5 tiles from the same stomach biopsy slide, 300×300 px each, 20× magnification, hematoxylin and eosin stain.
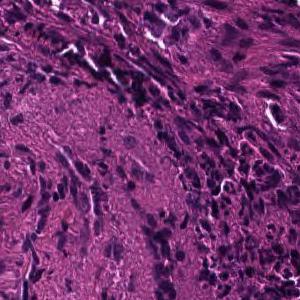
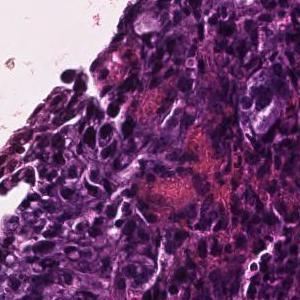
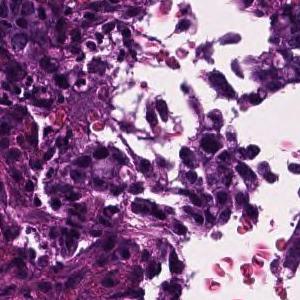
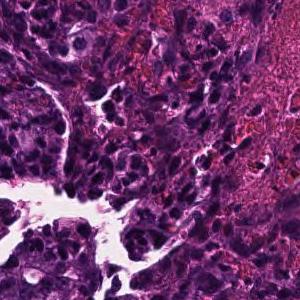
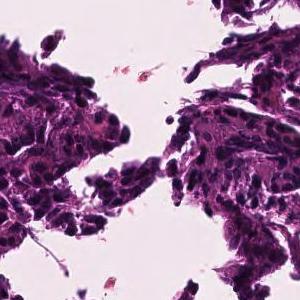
Report on the slide these tiles come from. The findings and the diagnosis refer to the entire slide; these tiles show only part of it, possibly with non-tumor tissue, and may not show every feature named.
Tumor tissue consisting of medium-sized, cord-like or irregular glandular infiltration is observed in the superficial epithelium. Poorly differentiated adenocarcinoma, non-solid type or moderately differentiated tubular adenocarcinoma
Subtype: Moderately to poorly differentiated adenocarcinoma.
"Non-solid type" is a category of the Japanese Classification of Gastric Carcinoma.
